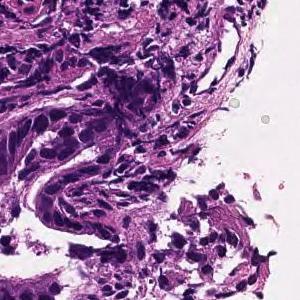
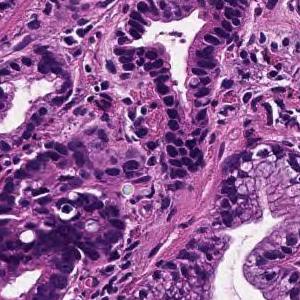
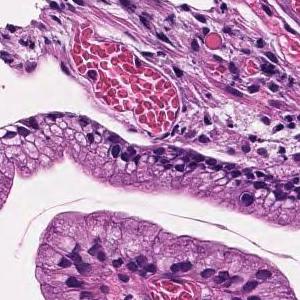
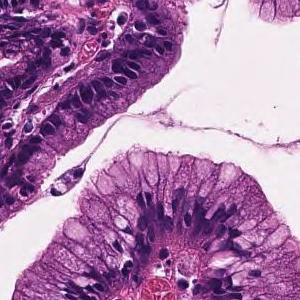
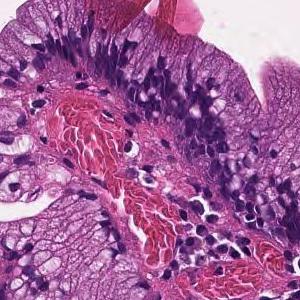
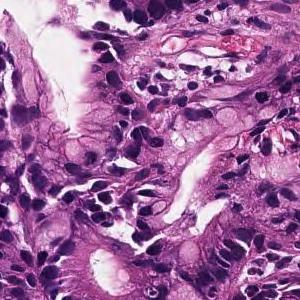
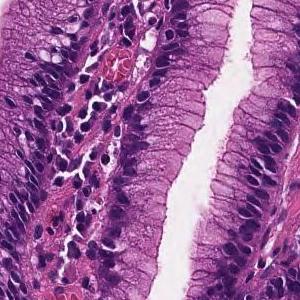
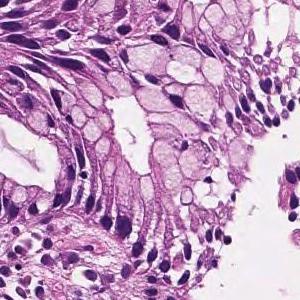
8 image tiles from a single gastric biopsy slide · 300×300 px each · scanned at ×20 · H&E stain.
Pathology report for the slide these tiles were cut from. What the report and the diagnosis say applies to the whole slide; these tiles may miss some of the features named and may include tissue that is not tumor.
On the superficial epithelium, tumor tissue consisting of medium-sized and irregular glandular ducts partially fused and infiltrated is observed. Well to moderately differentiated tubular adenocarcinoma (well differentiated tubular adenocarcinoma-moderately differentiated tubular adenocarcinoma)
Histological subtype: Well to moderately differentiated tubular adenocarcinoma.
